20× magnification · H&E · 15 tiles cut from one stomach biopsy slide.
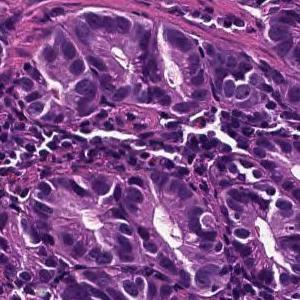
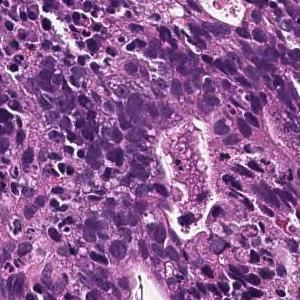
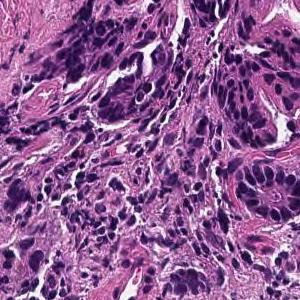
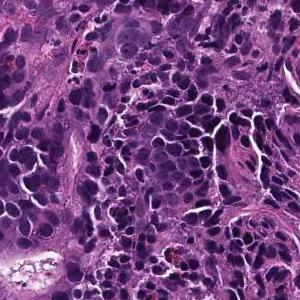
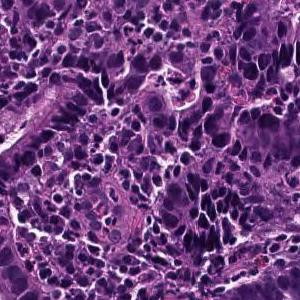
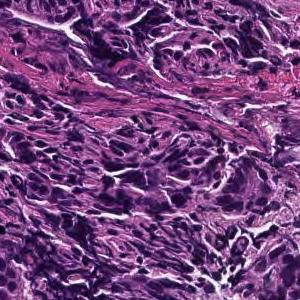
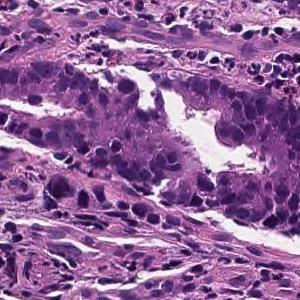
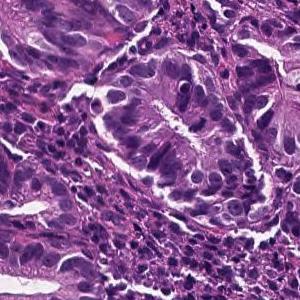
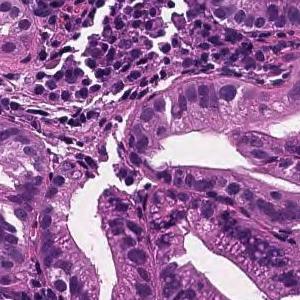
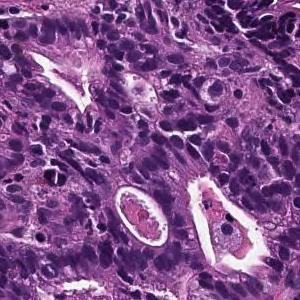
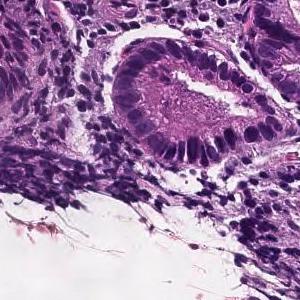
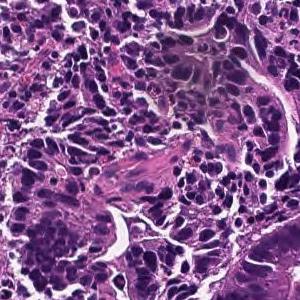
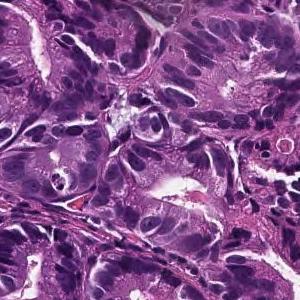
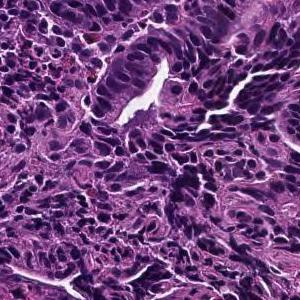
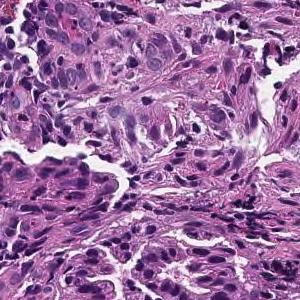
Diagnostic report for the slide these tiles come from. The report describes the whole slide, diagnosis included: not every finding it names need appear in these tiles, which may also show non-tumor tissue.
On the superficial epithelium, tumor tissue consisting of large irregular glandular ducts partially fused and infiltrated is observed. Well to moderately differentiated tubular adenocarcinoma (well differentiated tubular adenocarcinoma, moderately differentiated tubular adenocarcinoma)
Tumor subtype: well to moderately differentiated tubular adenocarcinoma.
